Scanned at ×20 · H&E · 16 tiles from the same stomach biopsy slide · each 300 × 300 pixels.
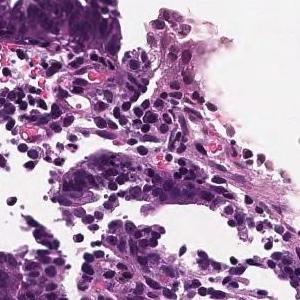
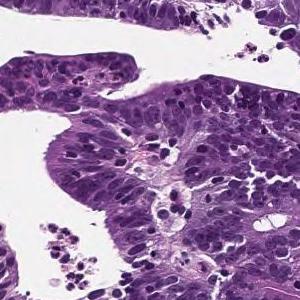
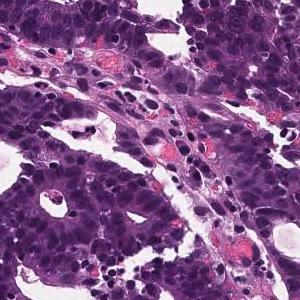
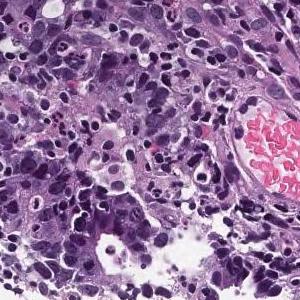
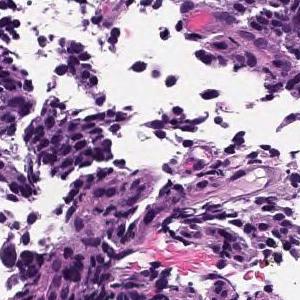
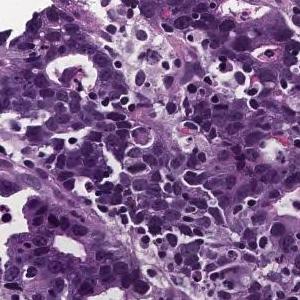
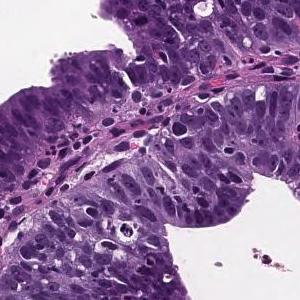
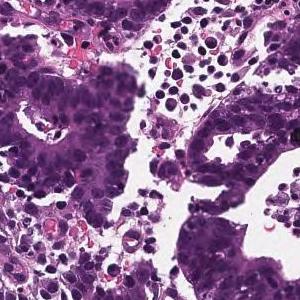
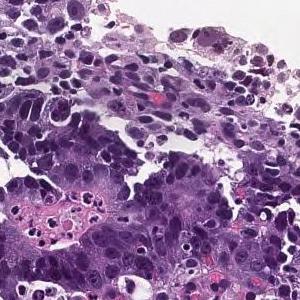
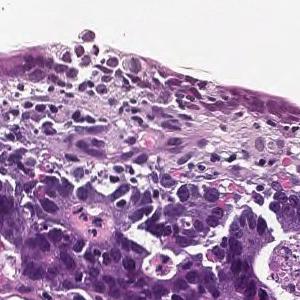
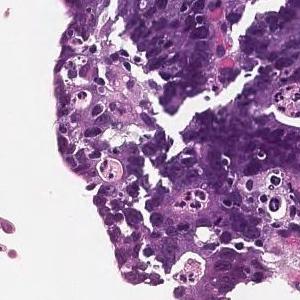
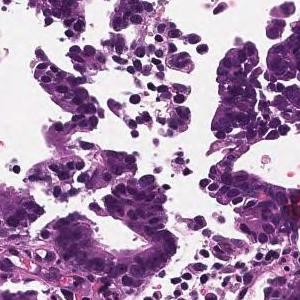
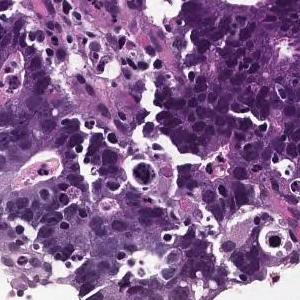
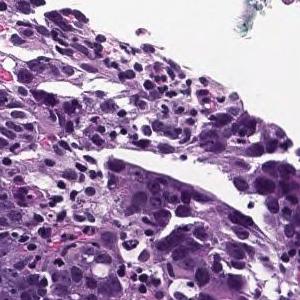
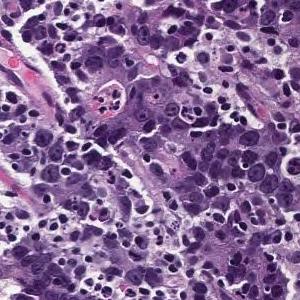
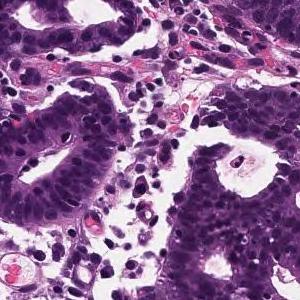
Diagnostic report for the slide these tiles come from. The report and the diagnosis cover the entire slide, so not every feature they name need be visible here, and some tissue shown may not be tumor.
On the superficial epithelium, tumor tissue is found in which medium-sized irregular gland ducts fuse with each other and infiltrate. moderately differentiated tubular adenocarcinoma
